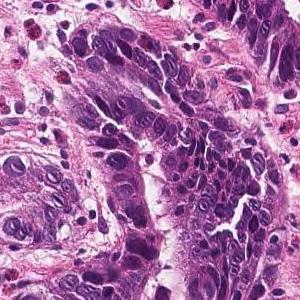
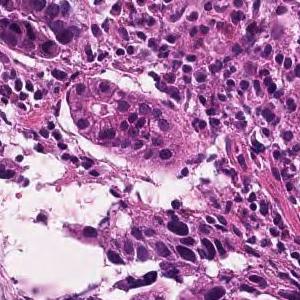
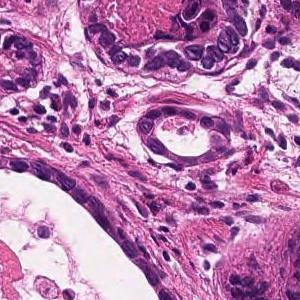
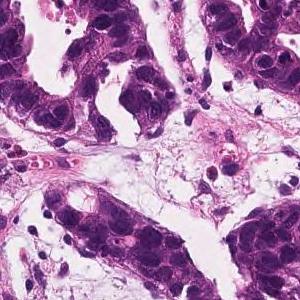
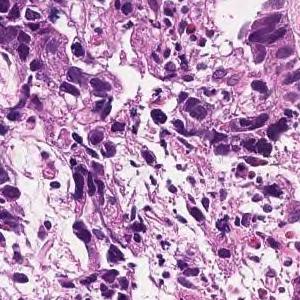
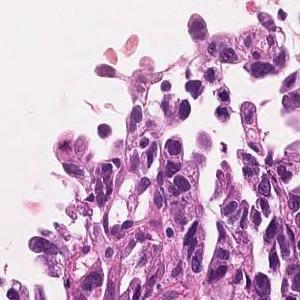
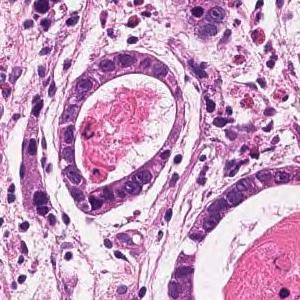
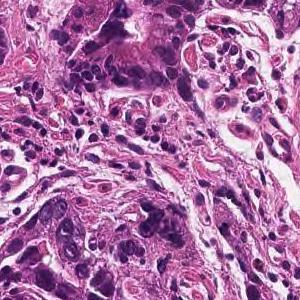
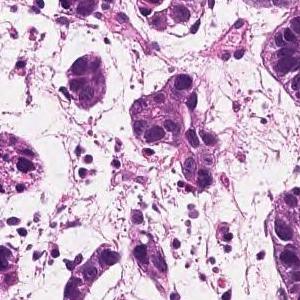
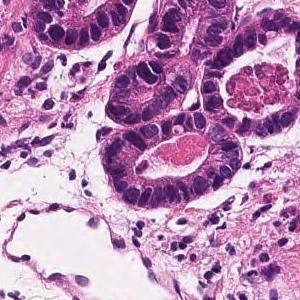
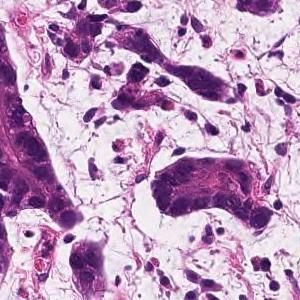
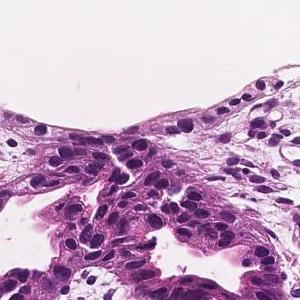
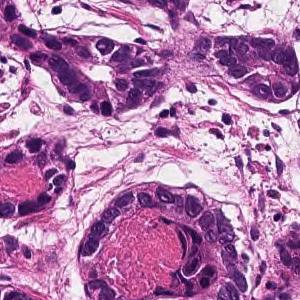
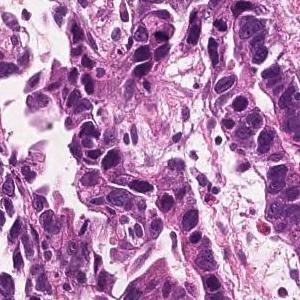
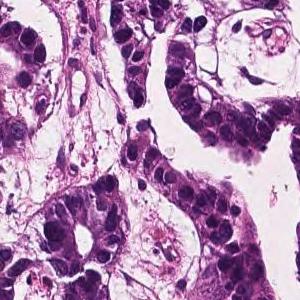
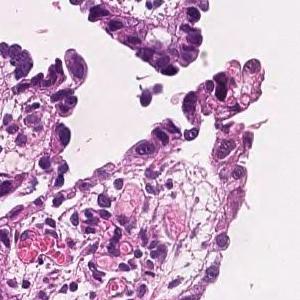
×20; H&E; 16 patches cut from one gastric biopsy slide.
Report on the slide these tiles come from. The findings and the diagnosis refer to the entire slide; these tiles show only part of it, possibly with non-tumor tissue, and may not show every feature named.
In the superficial epithelium, tumor tissue that invades by forming medium-sized to small, irregular ducts is observed. Well differentiated tubular adenocarcinoma.
